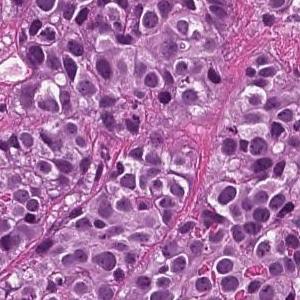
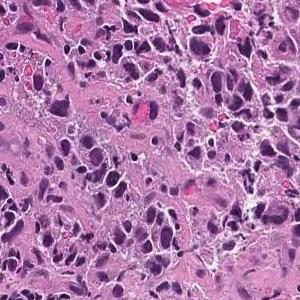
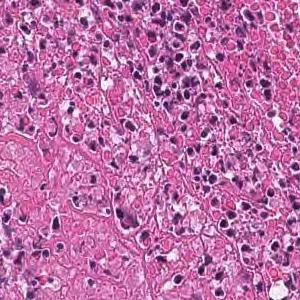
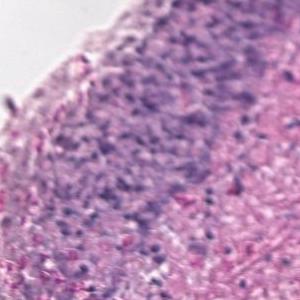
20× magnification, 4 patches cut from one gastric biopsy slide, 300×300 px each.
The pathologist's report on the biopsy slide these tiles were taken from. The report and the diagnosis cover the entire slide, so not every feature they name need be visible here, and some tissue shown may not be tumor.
The superficial epithelium shows a large sheet-like shape, and some tumor tissue infiltrates with small irregular ducts. Poorly differentiated adenocarcinoma, solid-type
Histologic type: Poorly differentiated adenocarcinoma, solid type (Japanese Classification of Gastric Carcinoma). The WHO 2019 equivalent is tubular adenocarcinoma, poorly differentiated.
